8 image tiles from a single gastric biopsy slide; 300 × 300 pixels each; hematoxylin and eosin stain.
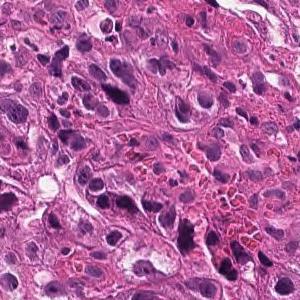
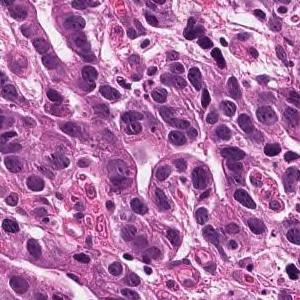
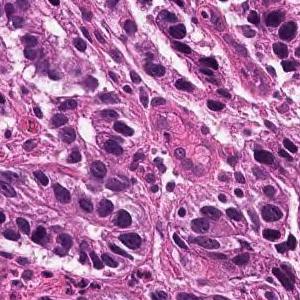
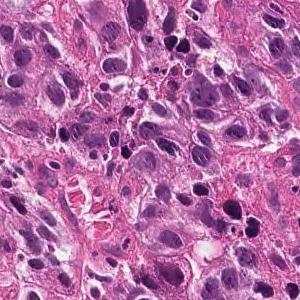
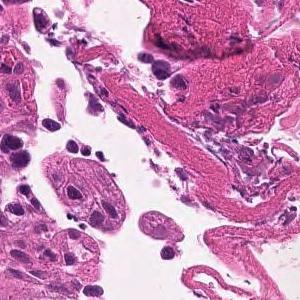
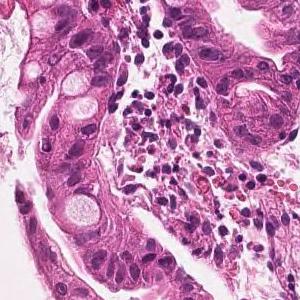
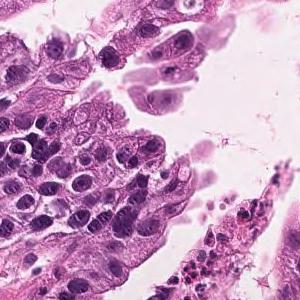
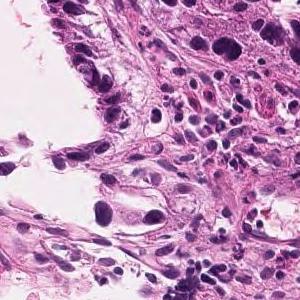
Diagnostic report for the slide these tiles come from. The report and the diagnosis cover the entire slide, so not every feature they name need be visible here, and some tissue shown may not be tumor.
Tumor tissue consisting of medium-sized, cord-like or irregular glandular infiltration is observed in the superficial epithelium. Poorly differentiated adenocarcinoma, non-solid type or moderately differentiated tubular adenocarcinoma
Tumor subtype: moderately to poorly differentiated adenocarcinoma.
The non-solid type named here is a Japanese Classification of Gastric Carcinoma category.
